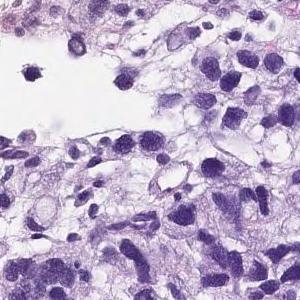
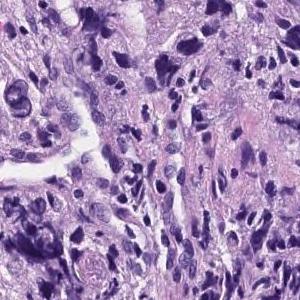
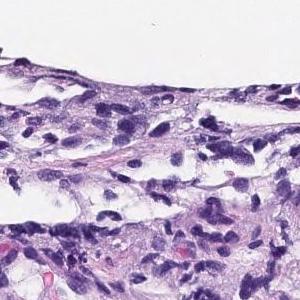
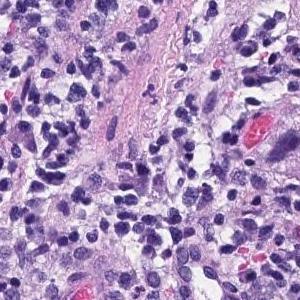
Scanned at ×20, H&E, 4 tiles cut from one stomach biopsy slide.
Report on the slide these tiles come from. The report and the diagnosis cover the entire slide, so not every feature they name need be visible here, and some tissue shown may not be tumor.
Medium to small, irregular glandular ducts are formed in the superficial epithelium, and in some cases, the glandular ducts are fused to show solid alveolar lesions and infiltrating tumor tissue is observed. Poorly differentiated adenocarcinoma, Moderately differentiated adenocarcinoma.
Dataset label: moderately differentiated tubular adenocarcinoma.
